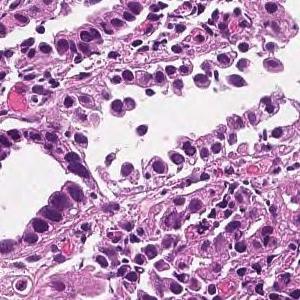
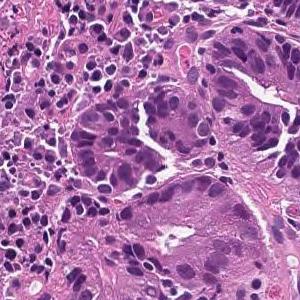
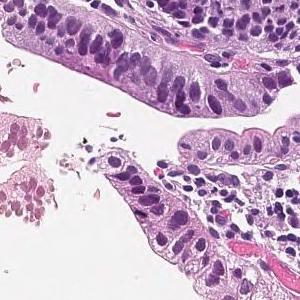
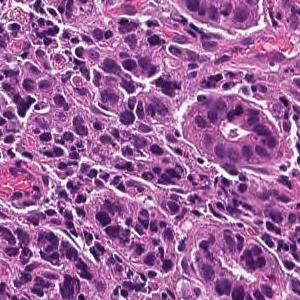
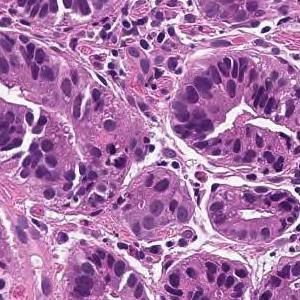
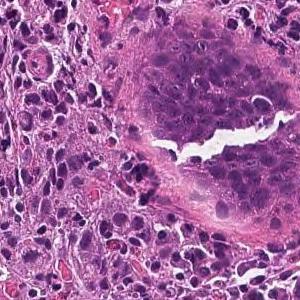
6 patches cut from one gastric biopsy slide; scanned at ×20; H&E stain.
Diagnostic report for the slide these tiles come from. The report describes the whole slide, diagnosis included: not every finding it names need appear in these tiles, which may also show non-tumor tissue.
On the superficial epithelium, tumor tissue consisting of large irregular glandular ducts partially fused and infiltrated is observed. Well to moderately differentiated tubular adenocarcinoma (well differentiated tubular adenocarcinoma, moderately differentiated tubular adenocarcinoma)
Histological subtype: Well to moderately differentiated tubular adenocarcinoma.
